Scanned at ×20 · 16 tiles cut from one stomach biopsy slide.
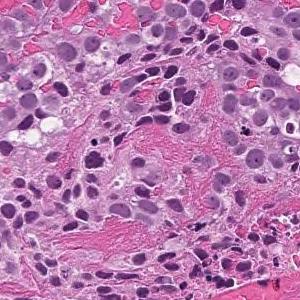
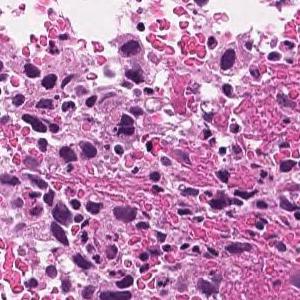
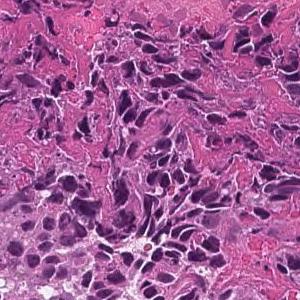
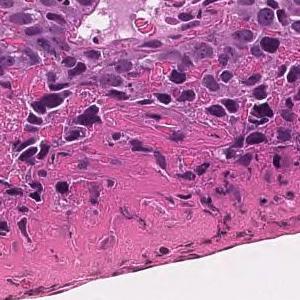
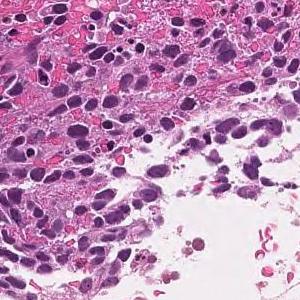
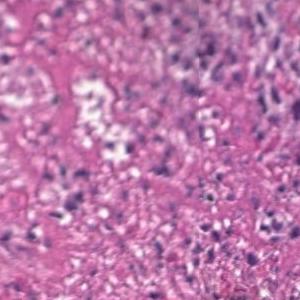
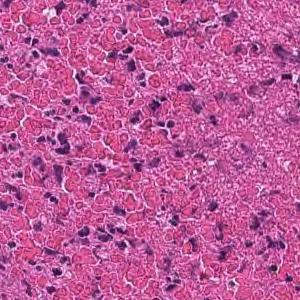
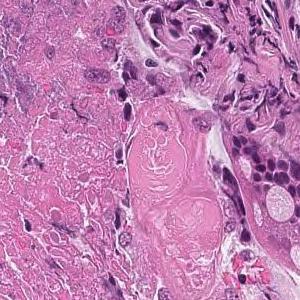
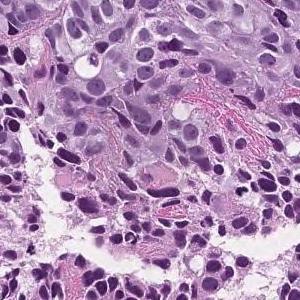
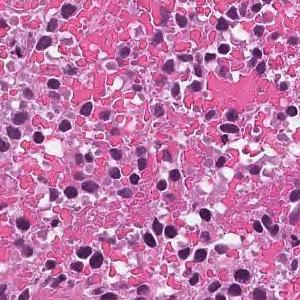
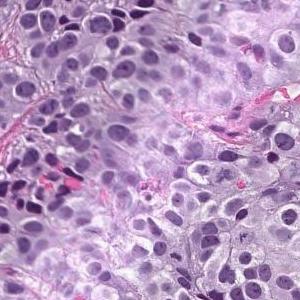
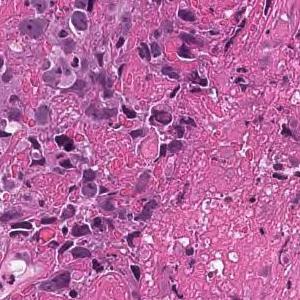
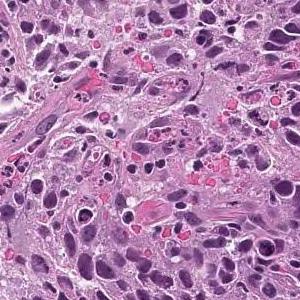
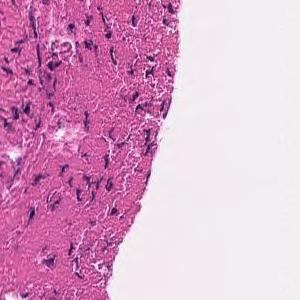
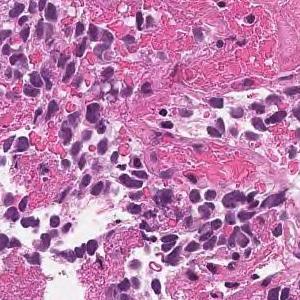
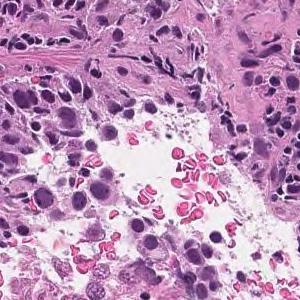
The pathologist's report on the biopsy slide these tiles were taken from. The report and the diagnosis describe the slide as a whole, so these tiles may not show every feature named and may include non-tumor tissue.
The superficial epithelium shows a large sheet-like shape, and some tumor tissue infiltrates with small irregular ducts. Poorly differentiated adenocarcinoma, solid-type
Classified as poorly differentiated adenocarcinoma, solid type. This name comes from the Japanese Classification of Gastric Carcinoma; the WHO 2019 classification calls it tubular adenocarcinoma, poorly differentiated.
